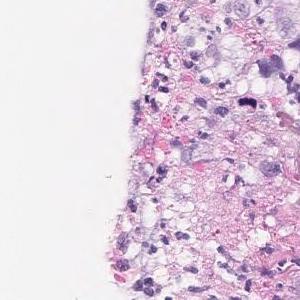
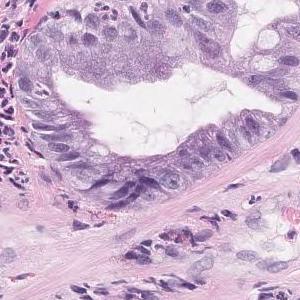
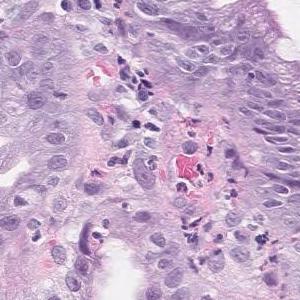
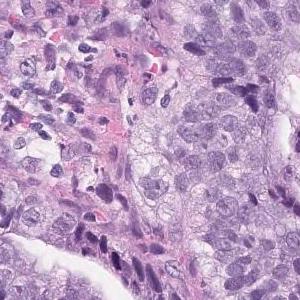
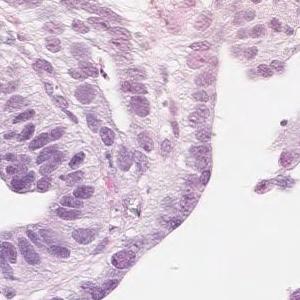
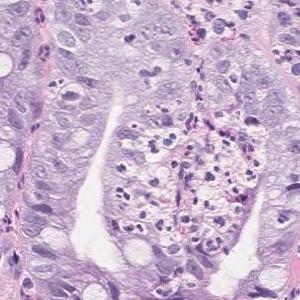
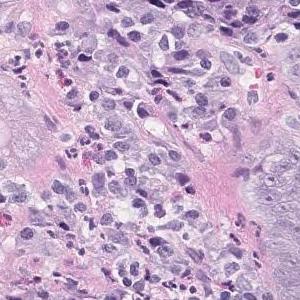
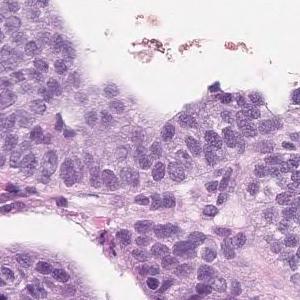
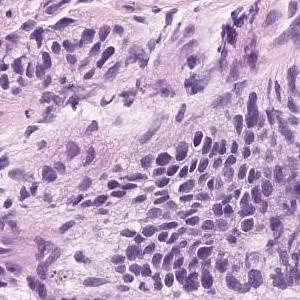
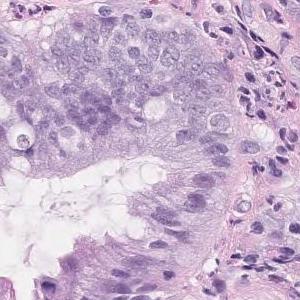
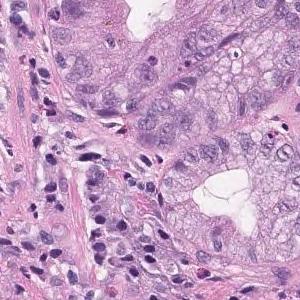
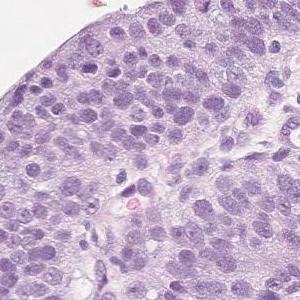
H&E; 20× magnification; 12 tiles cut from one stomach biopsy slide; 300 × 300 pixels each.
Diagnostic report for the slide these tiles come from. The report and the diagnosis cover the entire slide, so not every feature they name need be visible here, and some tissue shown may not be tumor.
Tumor tissue in which highly columnar atypical epithelial cells with nuclear enlargement and increased nuclear chromatin show papillary to papillary ductal structure and proliferate is observed. Papillary adenocarcinoma.
